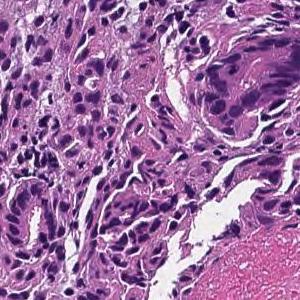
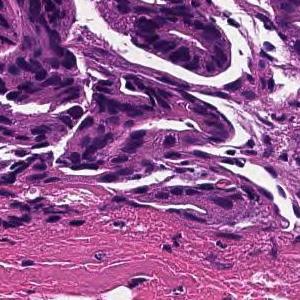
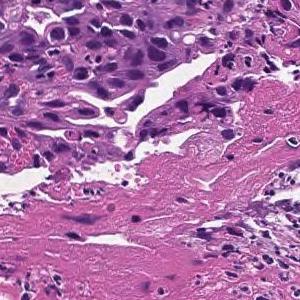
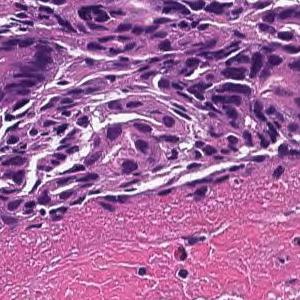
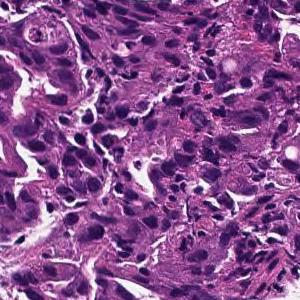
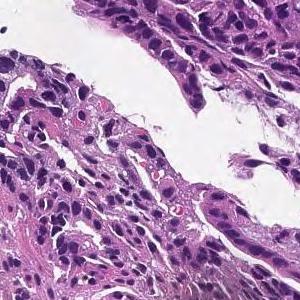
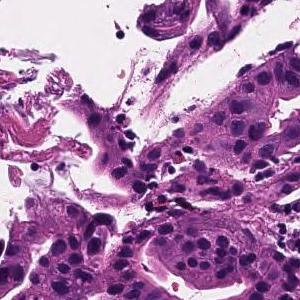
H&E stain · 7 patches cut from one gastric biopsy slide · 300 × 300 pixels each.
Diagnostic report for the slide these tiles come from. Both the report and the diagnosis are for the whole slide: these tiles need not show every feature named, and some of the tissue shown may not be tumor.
In the superficial epithelium, tumor tissue that invades by forming medium-sized to small, irregular ducts is observed. moderately differentiated tubular adenocarcinoma.
